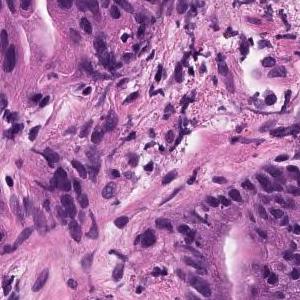
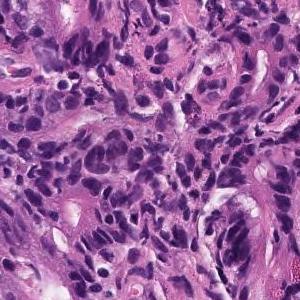
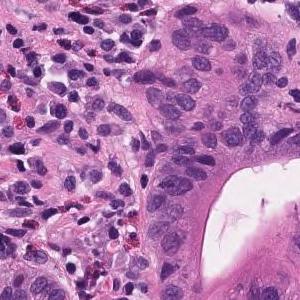
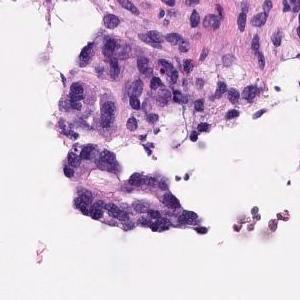
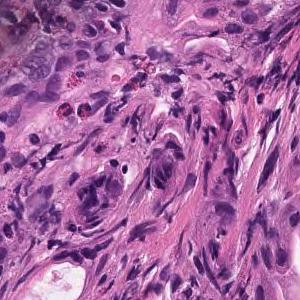
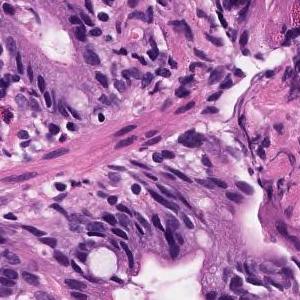
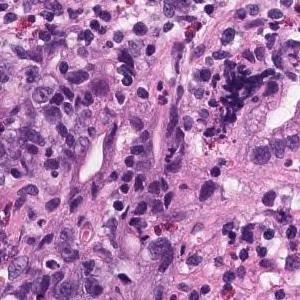
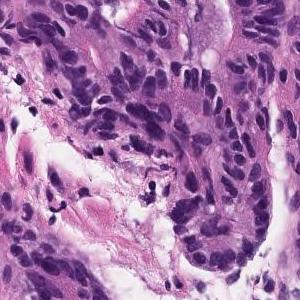
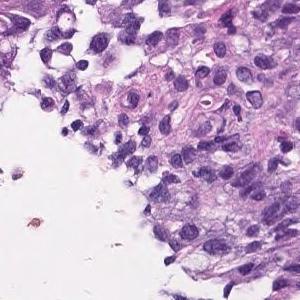
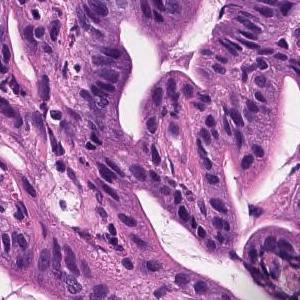
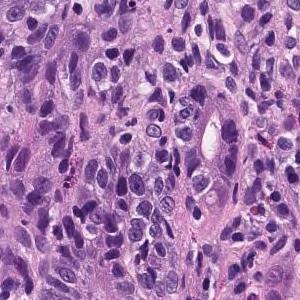
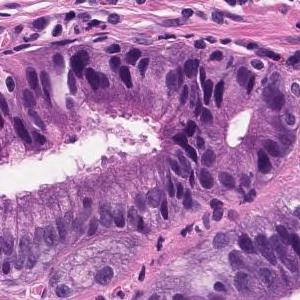
12 image tiles from a single gastric biopsy slide, each 300 × 300 pixels.
Diagnostic report for the slide these tiles come from. Both the report and the diagnosis are for the whole slide: these tiles need not show every feature named, and some of the tissue shown may not be tumor.
moderately differentiated tubular adenocarcinoma, Poorly differentiated adenocarcinoma
Dataset label: poorly differentiated adenocarcinoma, solid type. This name comes from the Japanese Classification of Gastric Carcinoma; the WHO 2019 classification calls it tubular adenocarcinoma, poorly differentiated.
